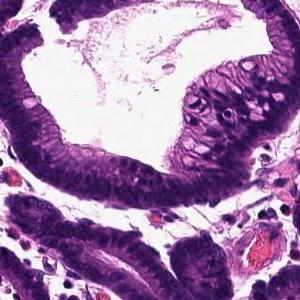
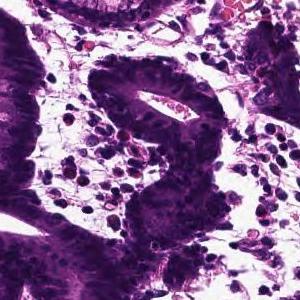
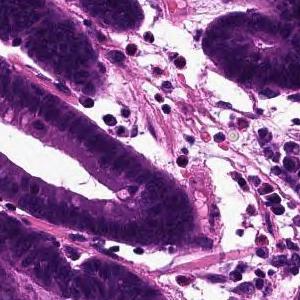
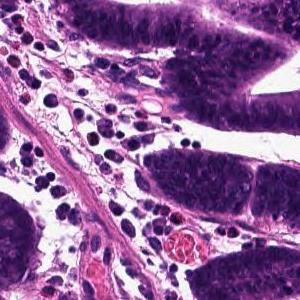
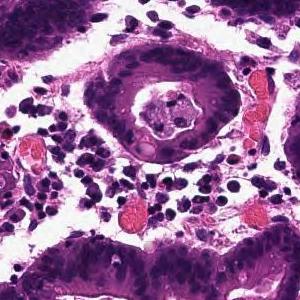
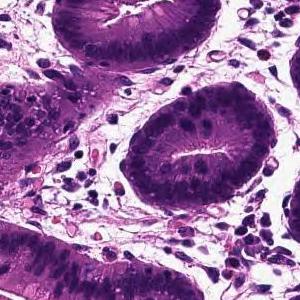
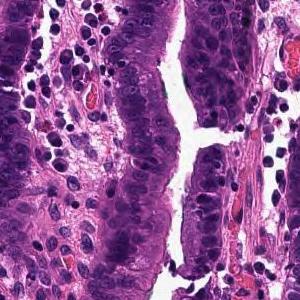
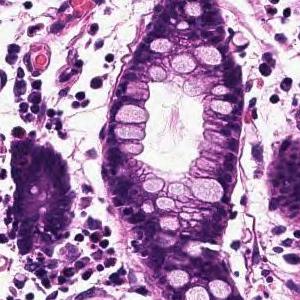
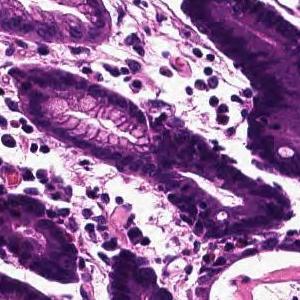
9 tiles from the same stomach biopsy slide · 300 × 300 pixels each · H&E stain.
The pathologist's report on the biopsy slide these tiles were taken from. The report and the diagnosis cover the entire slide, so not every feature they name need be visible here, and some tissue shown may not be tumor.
Tumor tissue that infiltrates by forming large papillary or large irregular glandular ducts is observed confined to the mucosa. Papillary adenocarcinoma
